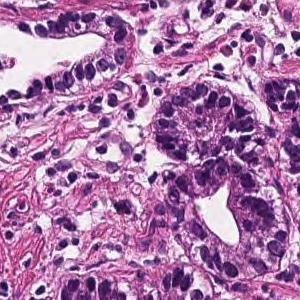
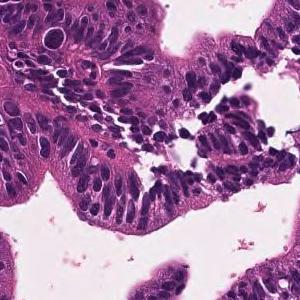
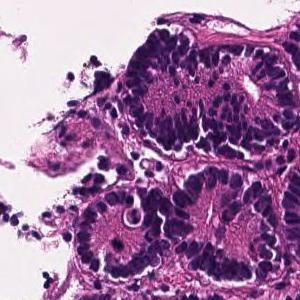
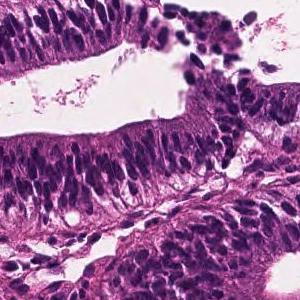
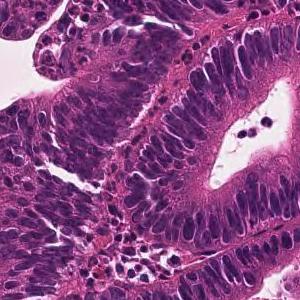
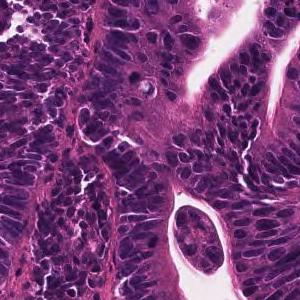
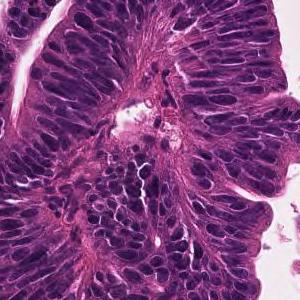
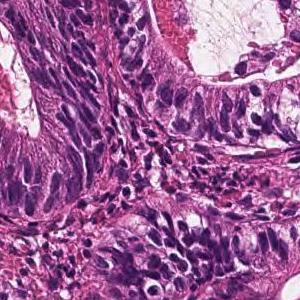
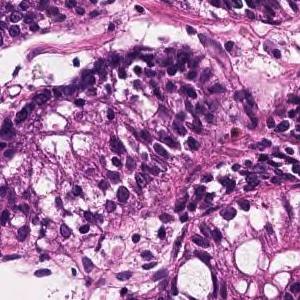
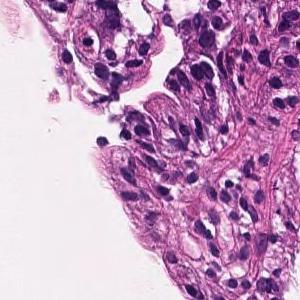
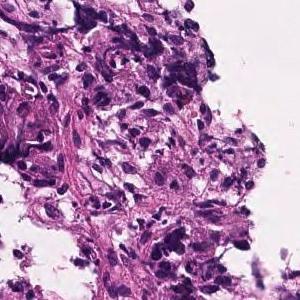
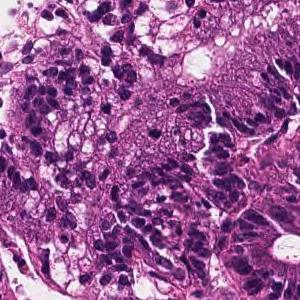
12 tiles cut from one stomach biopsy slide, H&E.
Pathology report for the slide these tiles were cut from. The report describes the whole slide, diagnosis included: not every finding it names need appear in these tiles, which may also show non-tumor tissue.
A large irregular tubular structure is exhibited in the epithelium, and tumor tissue that partially fuses and infiltrates and proliferates is observed. Large columnar tumor cells exhibit enlarged nucleus, hyperchromatism, and mitotic figures. Well differentiated tubular adenocarcinoma
